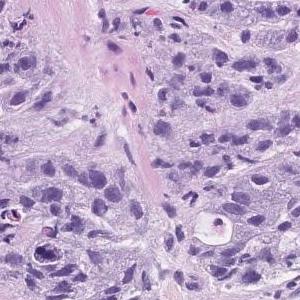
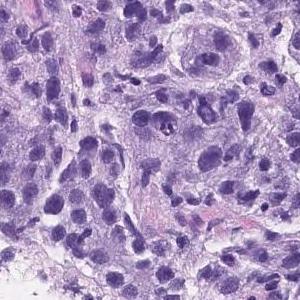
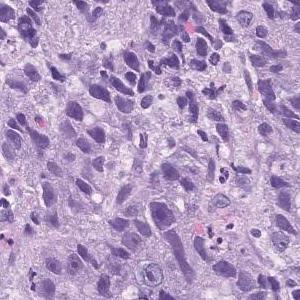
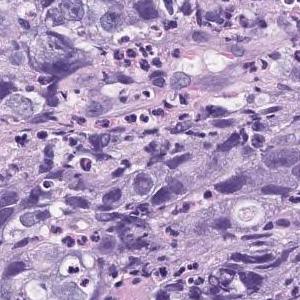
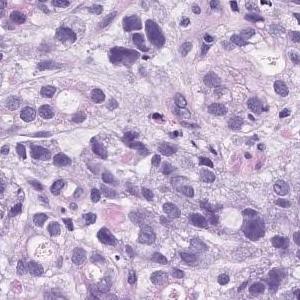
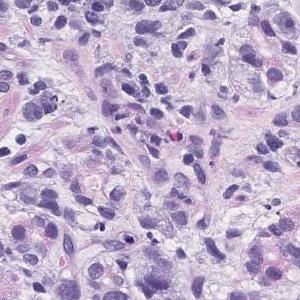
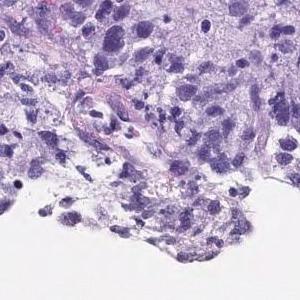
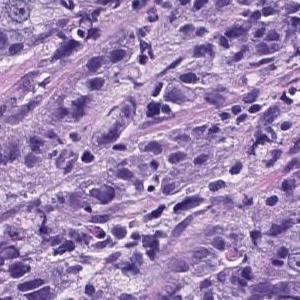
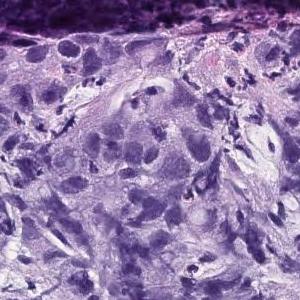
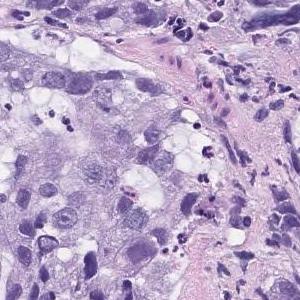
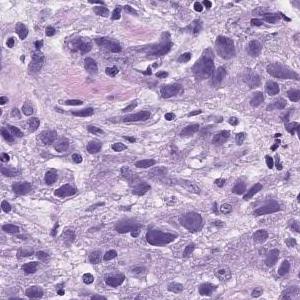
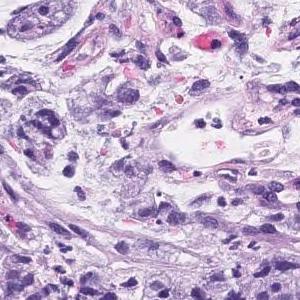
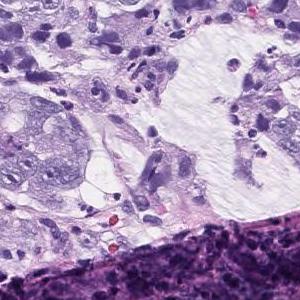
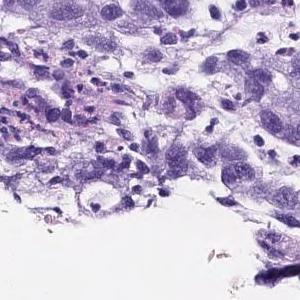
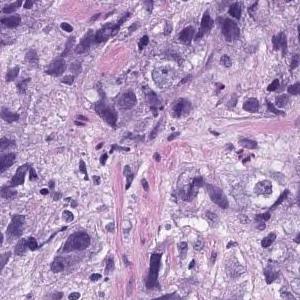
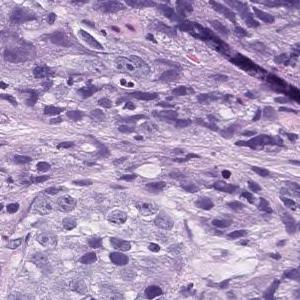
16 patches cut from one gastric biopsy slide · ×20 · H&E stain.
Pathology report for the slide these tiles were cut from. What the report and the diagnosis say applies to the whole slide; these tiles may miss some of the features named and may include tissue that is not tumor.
Atypical l cells with atypical nuclei forming solid vesicles or small irregular atypical ducts that proliferate in a complex manner. poorly differentiated adenocarcinoma, solid type, moderately differentiated tubular adenocarcinoma
"Solid type" is a category of the Japanese Classification of Gastric Carcinoma; in the WHO 2019 classification it is tubular adenocarcinoma, poorly differentiated.
